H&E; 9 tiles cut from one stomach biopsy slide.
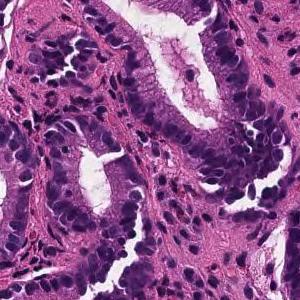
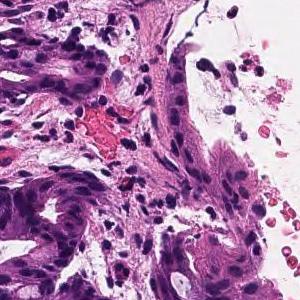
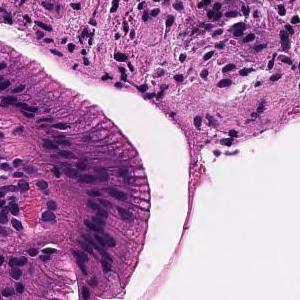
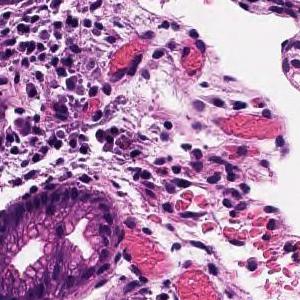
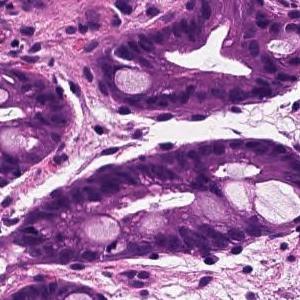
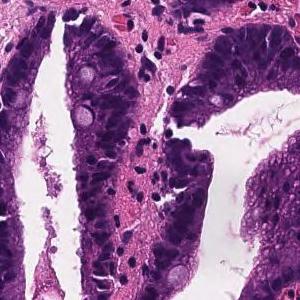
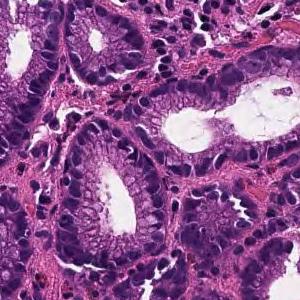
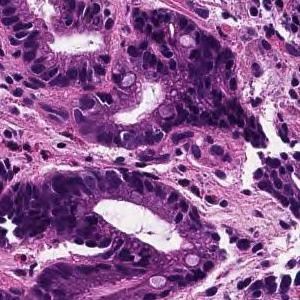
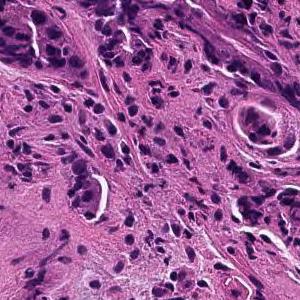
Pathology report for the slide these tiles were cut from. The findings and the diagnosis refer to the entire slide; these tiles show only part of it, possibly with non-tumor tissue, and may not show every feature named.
From the superficial epithelium to the muscularis mucosae, tumor tissue consisting of medium-sized and irregular glandular ducts infiltrating is observed. Well differentiated tubular adenocarcinoma
